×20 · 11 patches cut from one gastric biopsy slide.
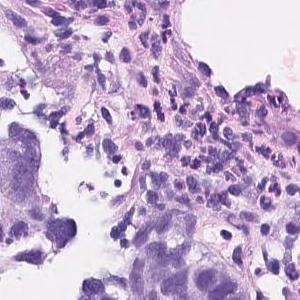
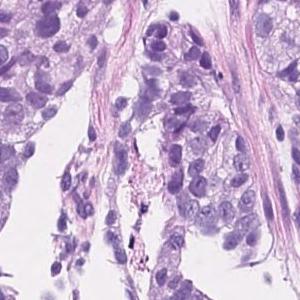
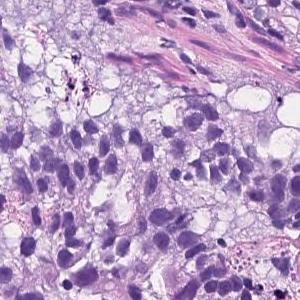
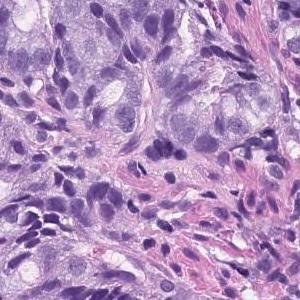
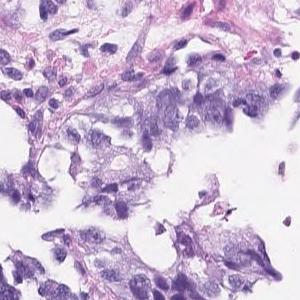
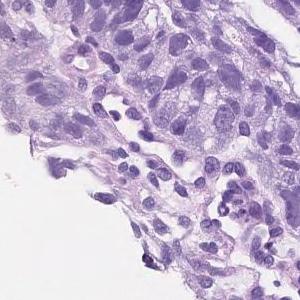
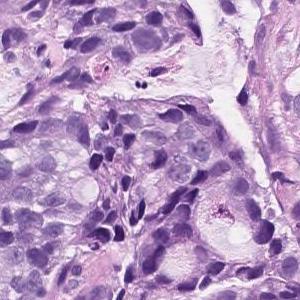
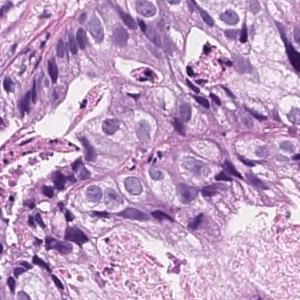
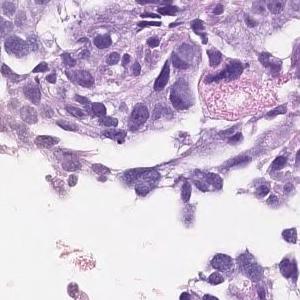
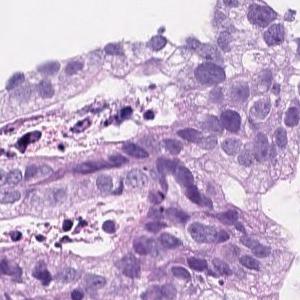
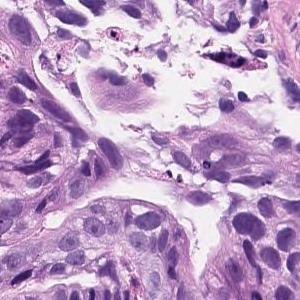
The pathologist's report on the biopsy slide these tiles were taken from. The report and the diagnosis describe the slide as a whole, so these tiles may not show every feature named and may include non-tumor tissue.
On the superficial epithelium, tumor tissue consisting of an image of large, irregular glandular ducts partially fused and infiltrated is observed. Well to moderately differentiated tubular adenocarcinoma
